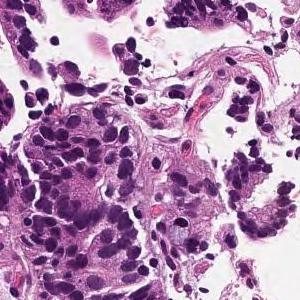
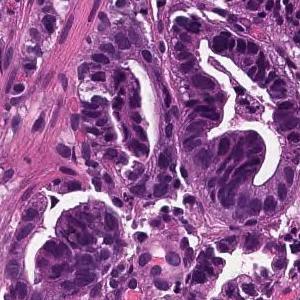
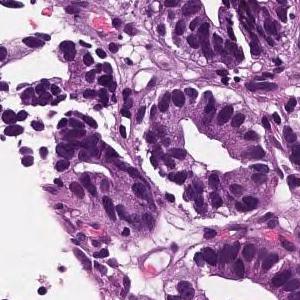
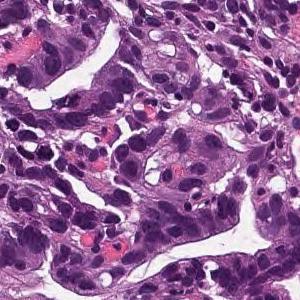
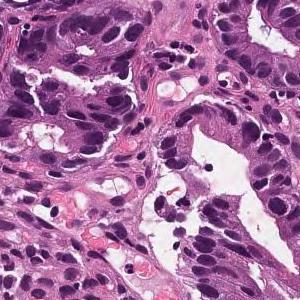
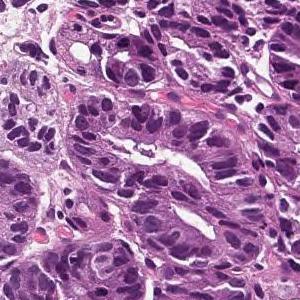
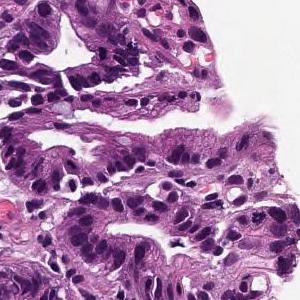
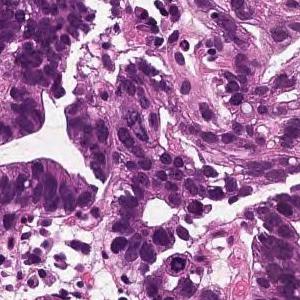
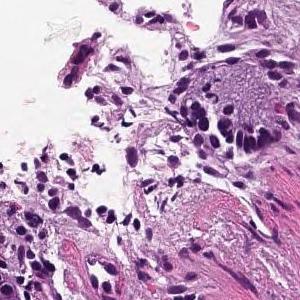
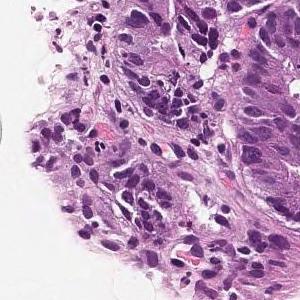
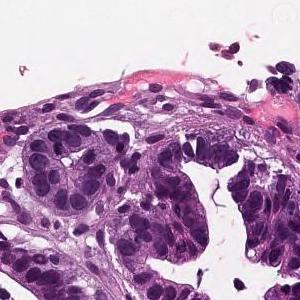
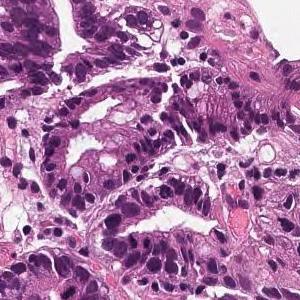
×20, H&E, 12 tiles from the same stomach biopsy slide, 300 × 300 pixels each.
Report on the slide these tiles come from. The report describes the whole slide, diagnosis included: not every finding it names need appear in these tiles, which may also show non-tumor tissue.
From the superficial epithelium to the muscularis mucosae, tumor tissue consisting of medium-sized and irregular glandular ducts infiltrating is observed. Well differentiated tubular adenocarcinoma
